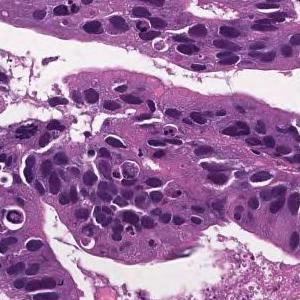
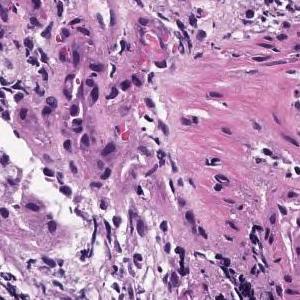
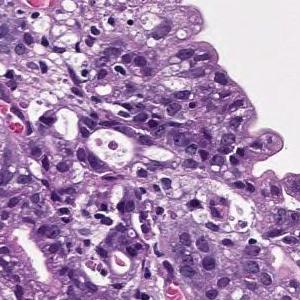
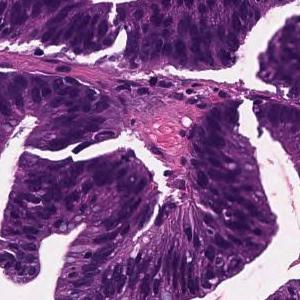
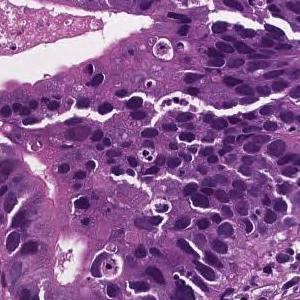
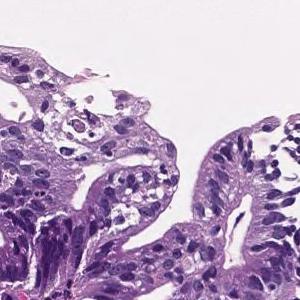
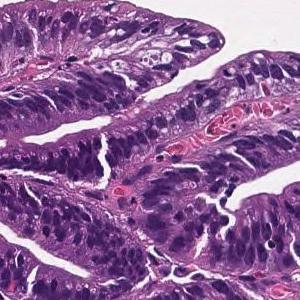
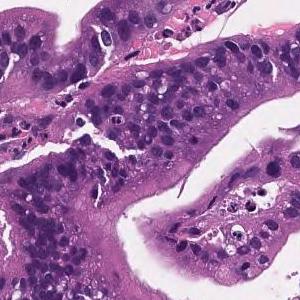
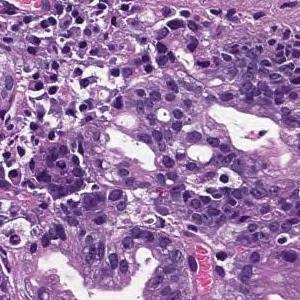
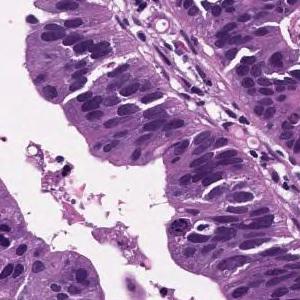
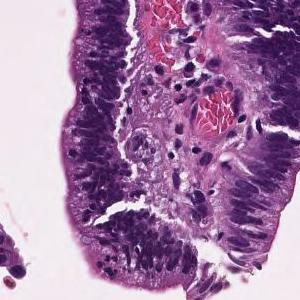
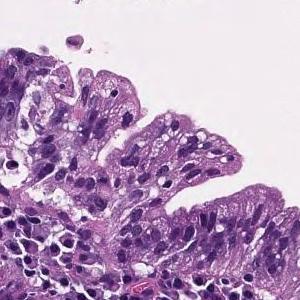
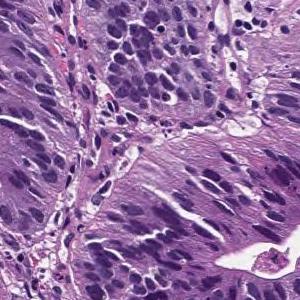
13 patches cut from one gastric biopsy slide, 300 × 300 pixels each, H&E stain.
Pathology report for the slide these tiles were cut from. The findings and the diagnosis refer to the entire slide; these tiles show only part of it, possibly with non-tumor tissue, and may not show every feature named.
Tumor cells are large, highly columnar, large club-shaped nuclei, and are associated with chromatin aggregation. Papillary adenocarcinoma.
